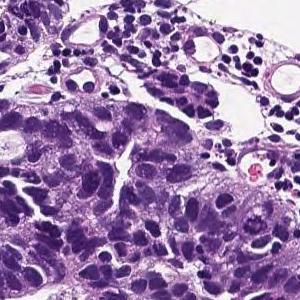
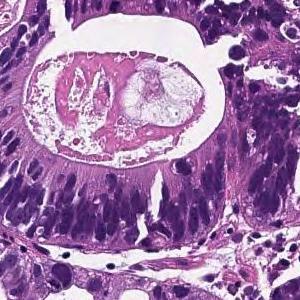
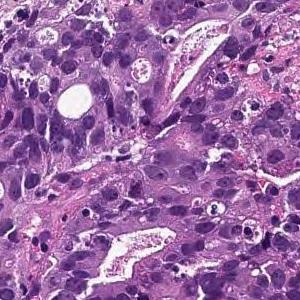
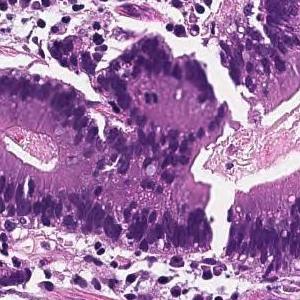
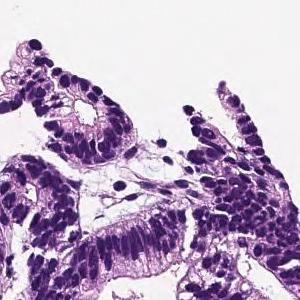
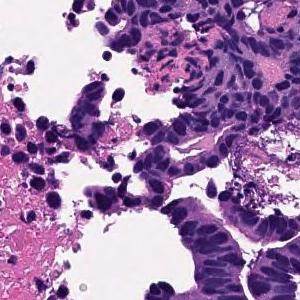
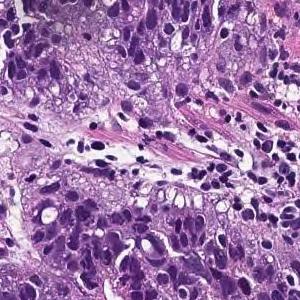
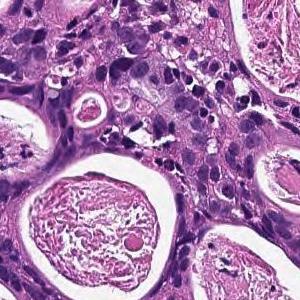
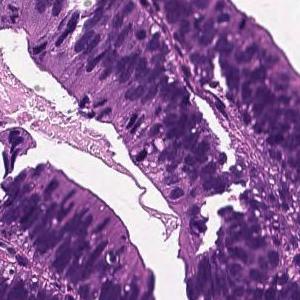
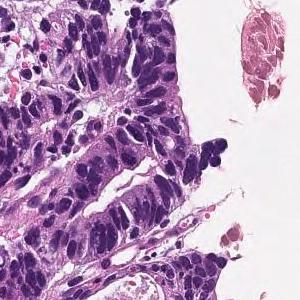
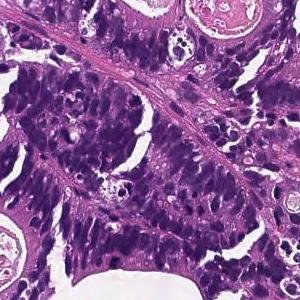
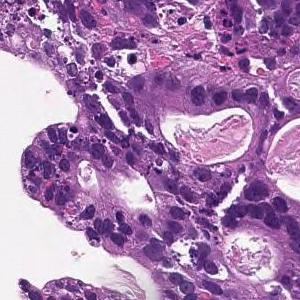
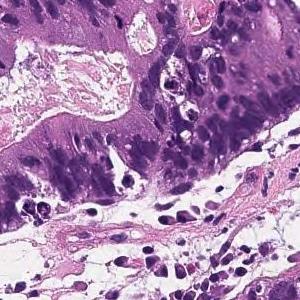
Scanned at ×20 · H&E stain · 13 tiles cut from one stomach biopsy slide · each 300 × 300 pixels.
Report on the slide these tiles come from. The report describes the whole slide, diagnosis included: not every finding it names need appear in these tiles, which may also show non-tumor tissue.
In the superficial epithelium, tumor tissue that invades by forming medium-sized to small, irregular ducts is observed. moderately differentiated tubular adenocarcinoma.
